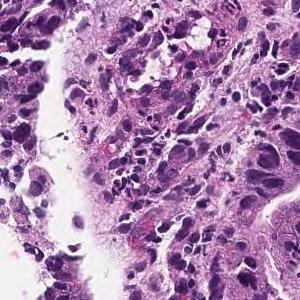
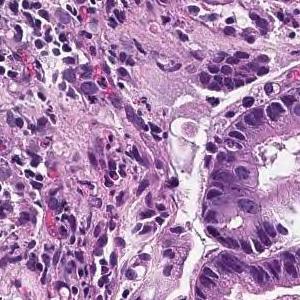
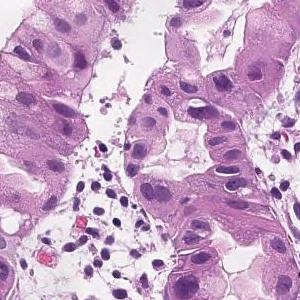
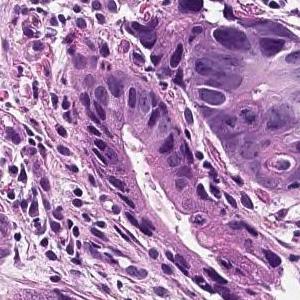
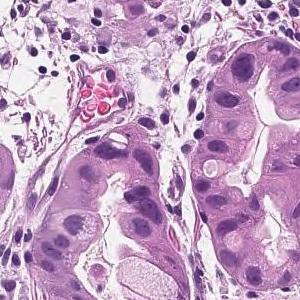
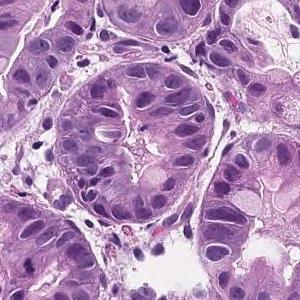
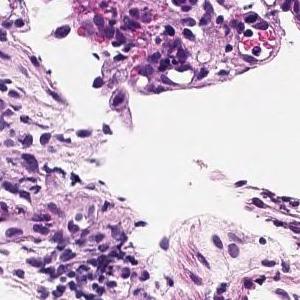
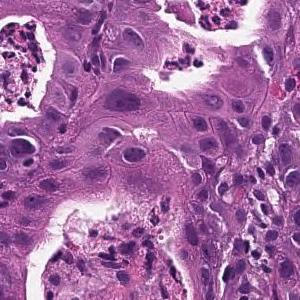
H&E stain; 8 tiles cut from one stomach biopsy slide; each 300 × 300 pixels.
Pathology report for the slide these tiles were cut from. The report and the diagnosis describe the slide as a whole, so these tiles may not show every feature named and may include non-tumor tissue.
On the superficial epithelium, tumor tissue that infiltrates by forming medium-sized papillary or small irregular ducts is observed. Papillary adenocarcinoma
